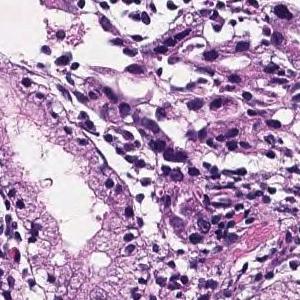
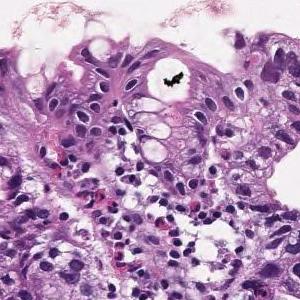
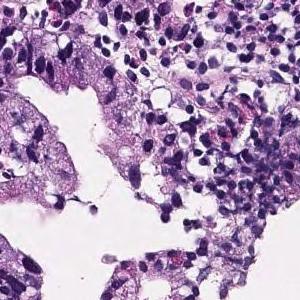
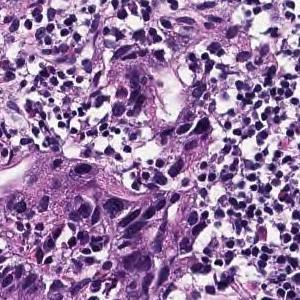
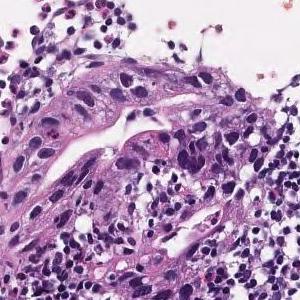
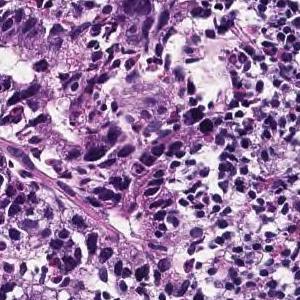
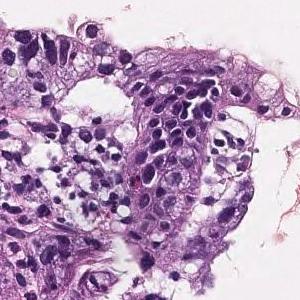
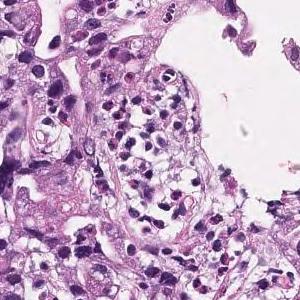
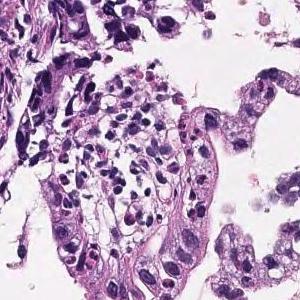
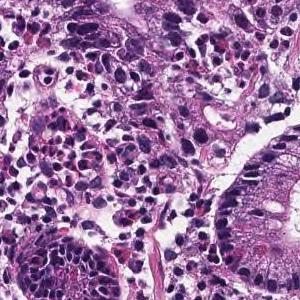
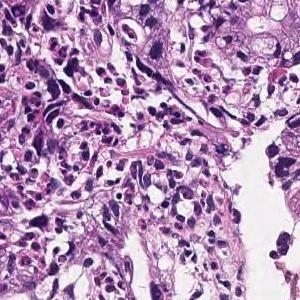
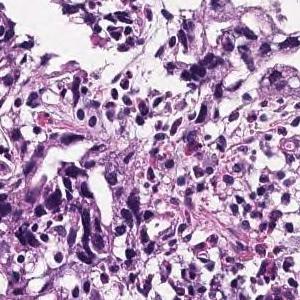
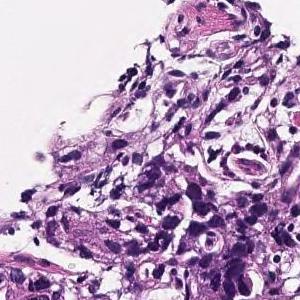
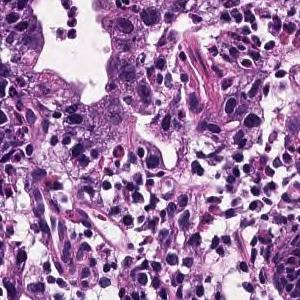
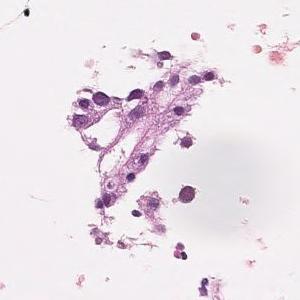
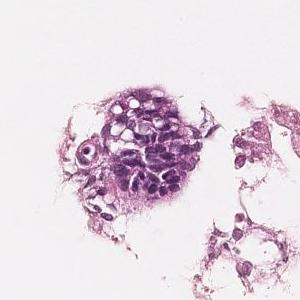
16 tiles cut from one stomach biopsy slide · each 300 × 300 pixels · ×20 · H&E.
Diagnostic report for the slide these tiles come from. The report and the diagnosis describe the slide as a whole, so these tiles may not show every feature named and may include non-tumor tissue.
In the superficial epithelium, tumor tissue that invades by forming medium-sized to small, irregular ducts is observed. moderately differentiated tubular adenocarcinoma.
